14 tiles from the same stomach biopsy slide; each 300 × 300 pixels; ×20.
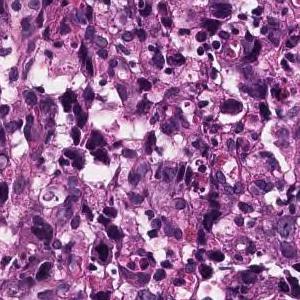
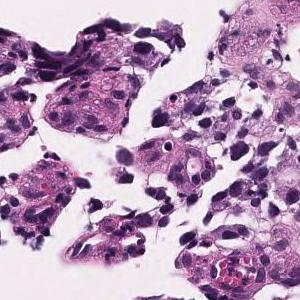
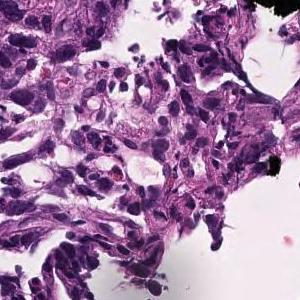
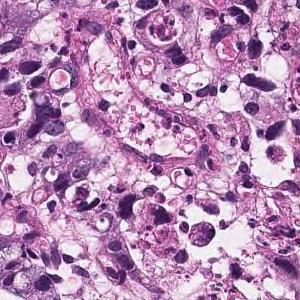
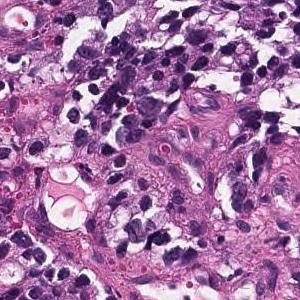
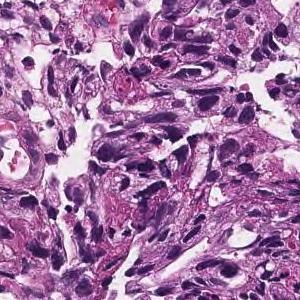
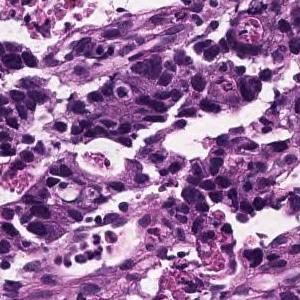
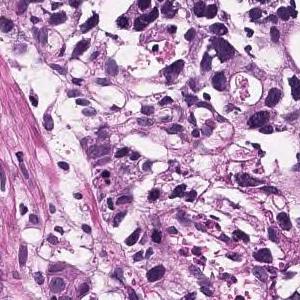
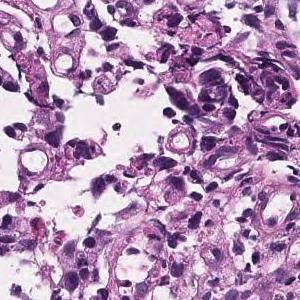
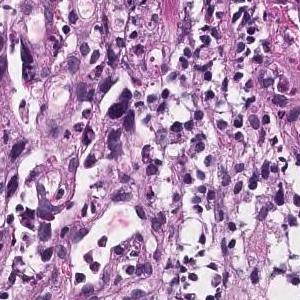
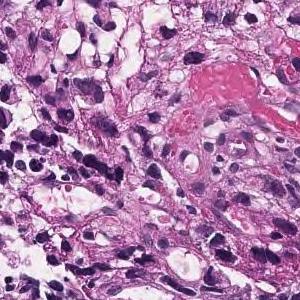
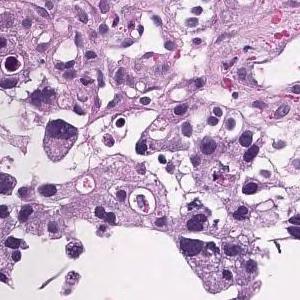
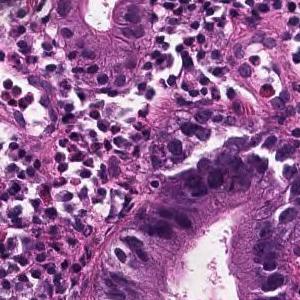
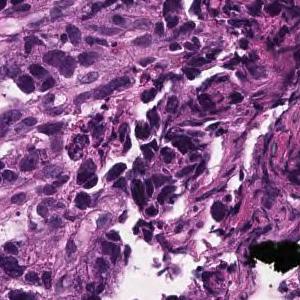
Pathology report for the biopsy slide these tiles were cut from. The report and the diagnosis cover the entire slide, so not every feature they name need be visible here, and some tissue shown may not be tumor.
Tumor tissue consisting of medium-sized, cord-like or irregular glandular infiltration is observed in the superficial epithelium. Poorly differentiated adenocarcinoma, non-solid type or moderately differentiated tubular adenocarcinoma
The non-solid type named here is a Japanese Classification of Gastric Carcinoma category.
